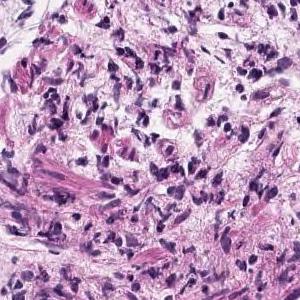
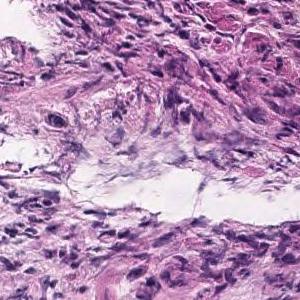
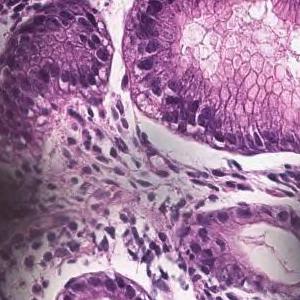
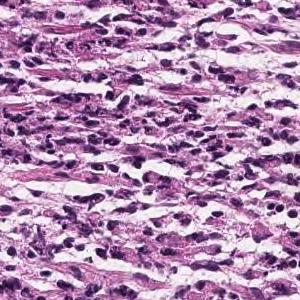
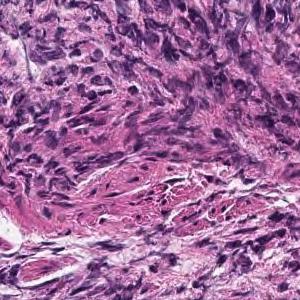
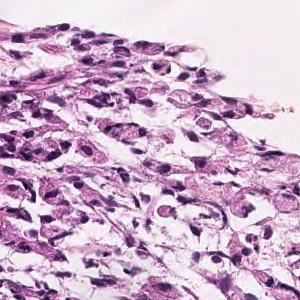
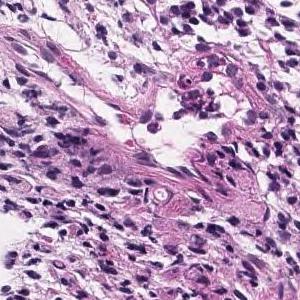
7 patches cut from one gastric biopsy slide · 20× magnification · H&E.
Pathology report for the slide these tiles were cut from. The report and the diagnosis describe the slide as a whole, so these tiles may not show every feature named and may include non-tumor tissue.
In the lamina propria, a tumor tissue consisting of signet ring cell type atypical epithelial cells infiltrating is observed. Signet ring cell carcinoma.
